H&E · 5 tiles cut from one stomach biopsy slide.
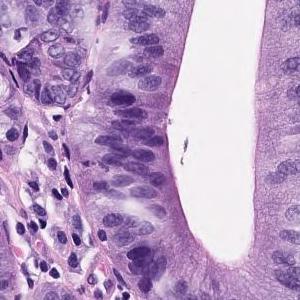
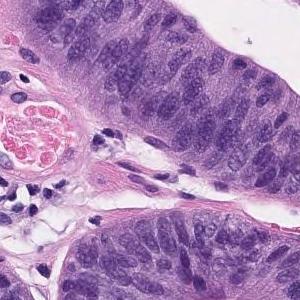
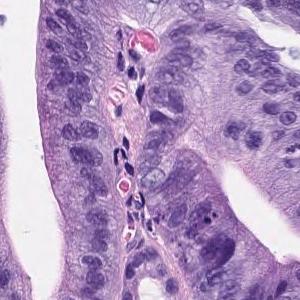
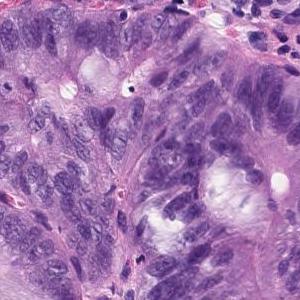
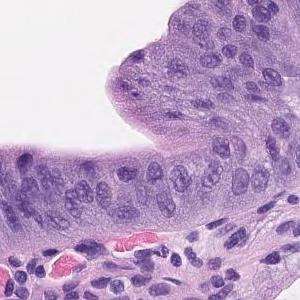
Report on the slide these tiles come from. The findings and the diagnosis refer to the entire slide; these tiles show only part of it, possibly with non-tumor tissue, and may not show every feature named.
On the superficial epithelium, tumor tissue consisting of images of atypical ducts of different sizes partially fused and densely proliferating is observed. Well differentiated tubular adenocarcinoma
